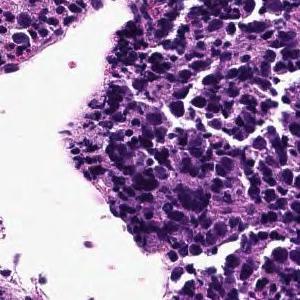
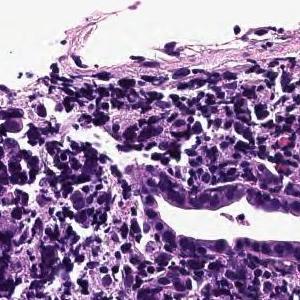
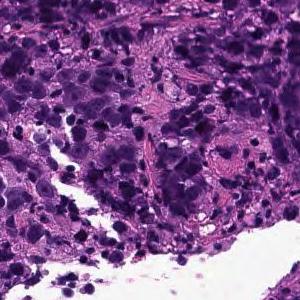
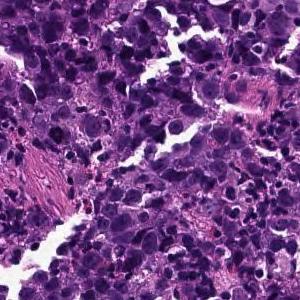
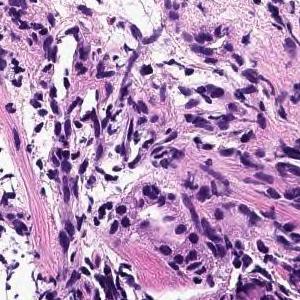
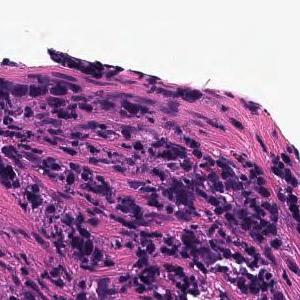
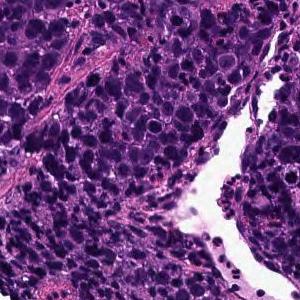
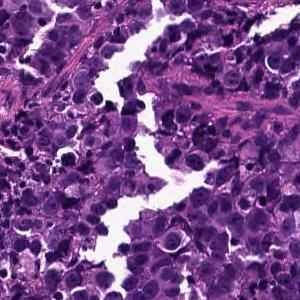
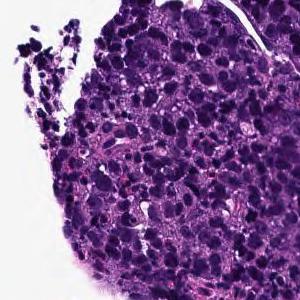
9 tiles from the same stomach biopsy slide; 300×300 px each; H&E stain.
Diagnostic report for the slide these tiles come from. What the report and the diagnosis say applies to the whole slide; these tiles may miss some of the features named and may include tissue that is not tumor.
The superficial epithelium shows large alveolar or sheet-like forms, and some tumor tissue infiltrates with small irregular ducts. Poorly differentiated adenocarcinoma, solid-type
Tumor subtype: poorly differentiated adenocarcinoma, solid type, a category of the Japanese Classification of Gastric Carcinoma; in the WHO 2019 classification it is tubular adenocarcinoma, poorly differentiated.
